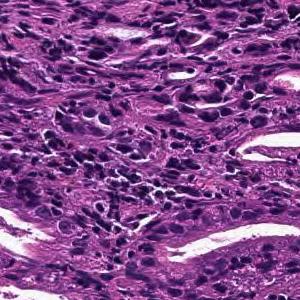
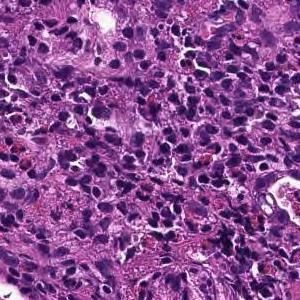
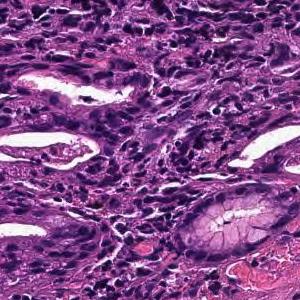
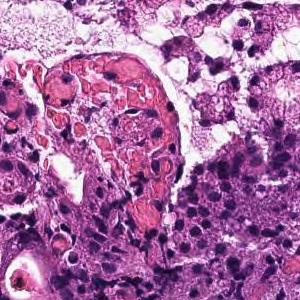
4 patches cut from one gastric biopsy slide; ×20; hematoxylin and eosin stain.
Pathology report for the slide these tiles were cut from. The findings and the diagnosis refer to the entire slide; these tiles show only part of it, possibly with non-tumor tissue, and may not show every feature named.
In the superficial epithelium, tumor tissue that invades by forming medium-sized to small, irregular ducts is observed. moderately differentiated tubular adenocarcinoma.
